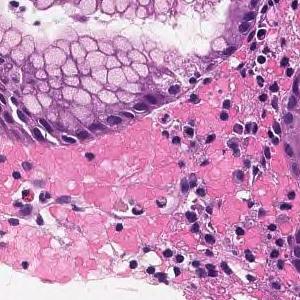
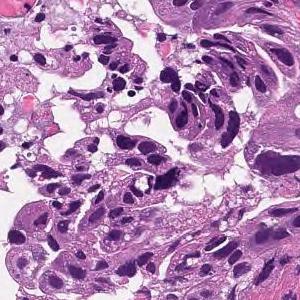
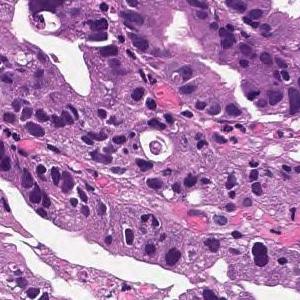
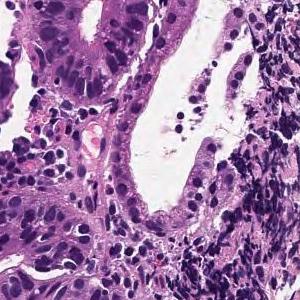
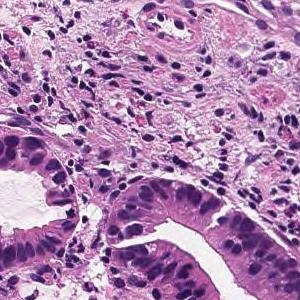
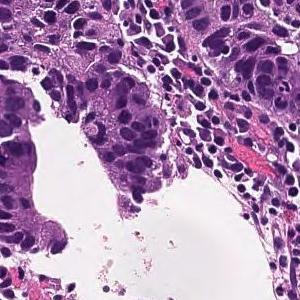
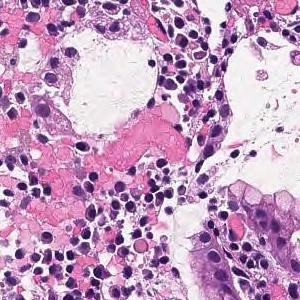
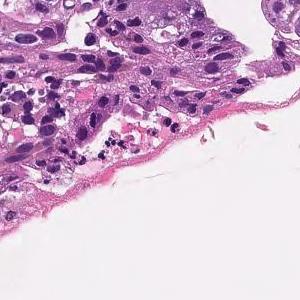
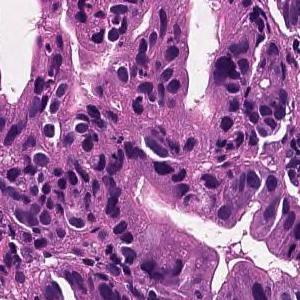
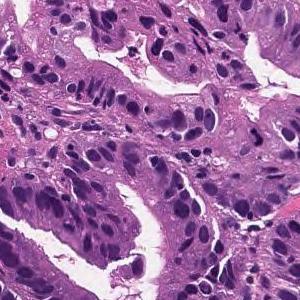
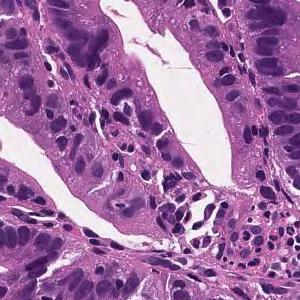
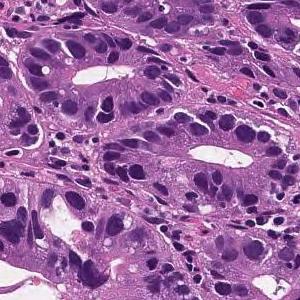
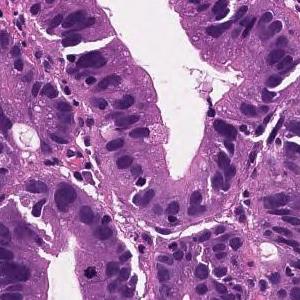
13 patches cut from one gastric biopsy slide, each 300 × 300 pixels, H&E stain.
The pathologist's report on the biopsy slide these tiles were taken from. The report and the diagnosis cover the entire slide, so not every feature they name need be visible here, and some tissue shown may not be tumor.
From the superficial epithelium to the muscularis mucosae, tumor tissue consisting of medium-sized and irregular glandular ducts infiltrating is observed. Well differentiated tubular adenocarcinoma
